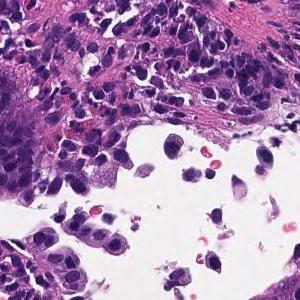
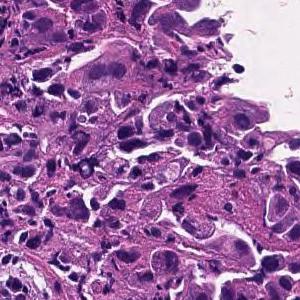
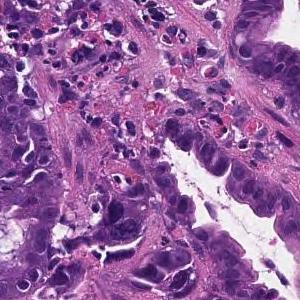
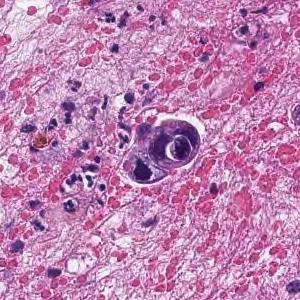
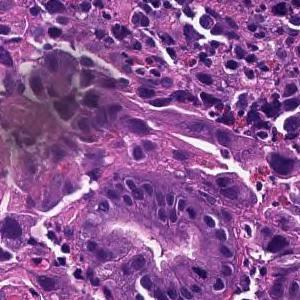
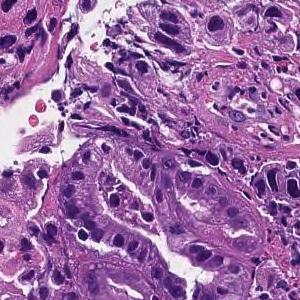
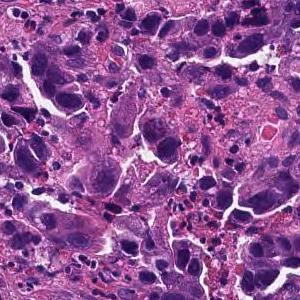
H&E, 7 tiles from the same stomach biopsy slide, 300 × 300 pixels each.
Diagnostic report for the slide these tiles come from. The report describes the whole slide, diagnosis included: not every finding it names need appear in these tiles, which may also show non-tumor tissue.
Tumor tissue consisting of medium-sized, cord-like or irregular glandular infiltration is observed in the superficial epithelium. Poorly differentiated adenocarcinoma, non-solid type or moderately differentiated tubular adenocarcinoma
Tumor subtype: moderately to poorly differentiated adenocarcinoma.
The term "non-solid type" comes from the Japanese Classification of Gastric Carcinoma.
